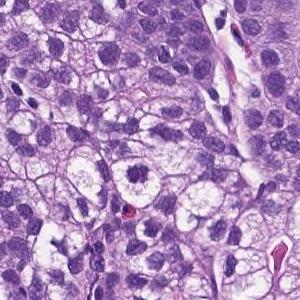
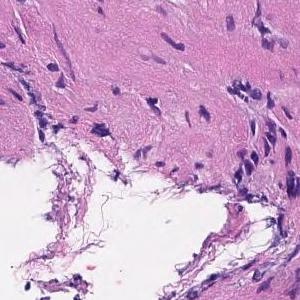
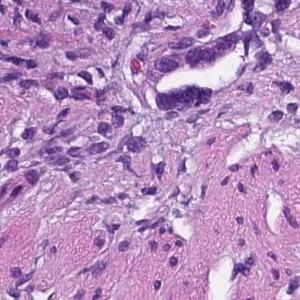
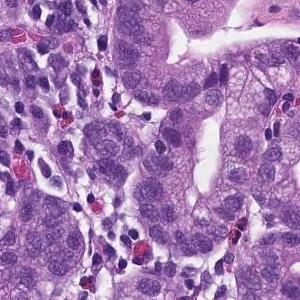
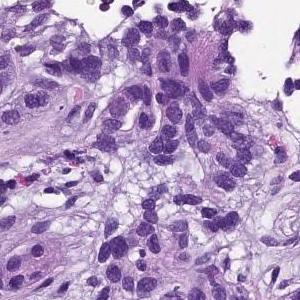
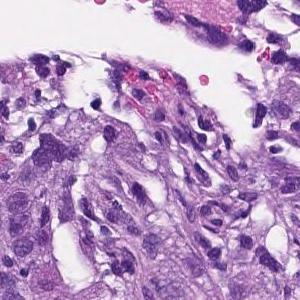
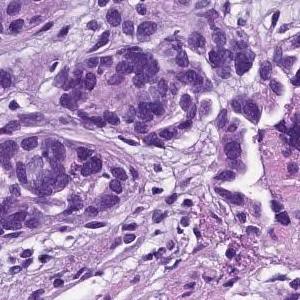
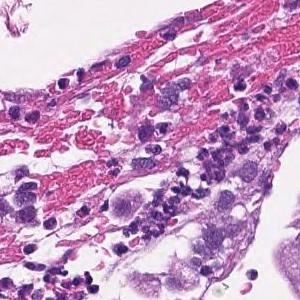
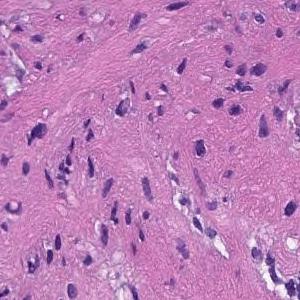
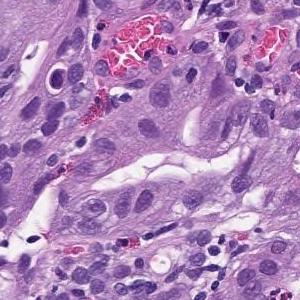
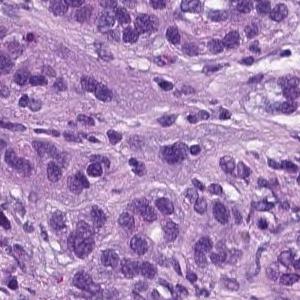
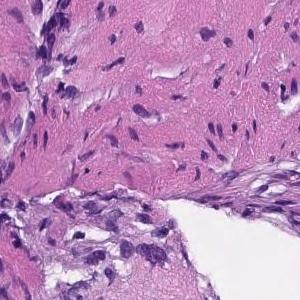
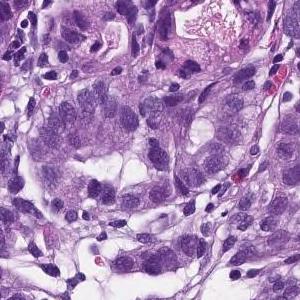
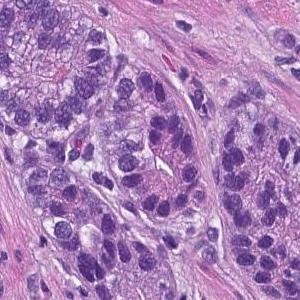
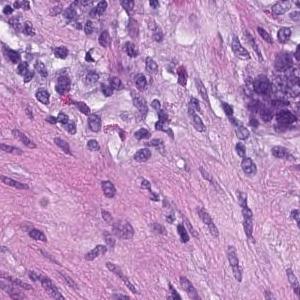
H&E · 15 image tiles from a single gastric biopsy slide · 300 × 300 pixels each.
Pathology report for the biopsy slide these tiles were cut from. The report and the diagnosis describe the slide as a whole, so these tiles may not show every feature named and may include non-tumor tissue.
From the superficial epithelium to the muscularis mucosae, tumor tissue consisting of medium-sized and irregular glandular ducts infiltrating is observed. Well differentiated tubular adenocarcinoma
